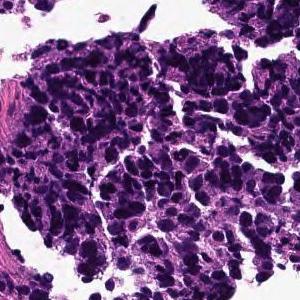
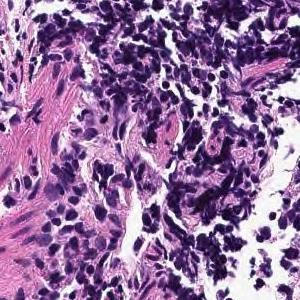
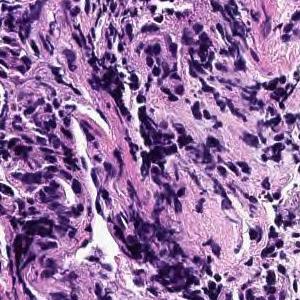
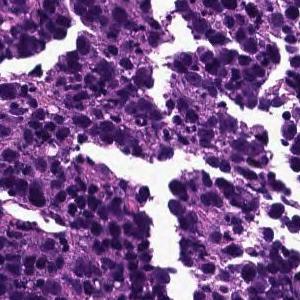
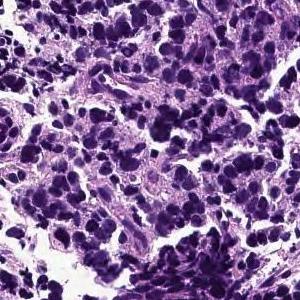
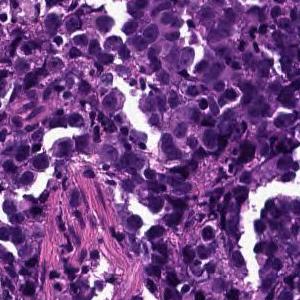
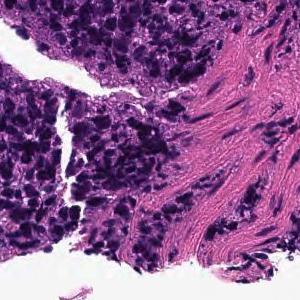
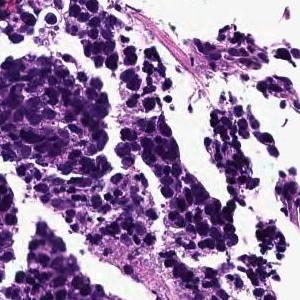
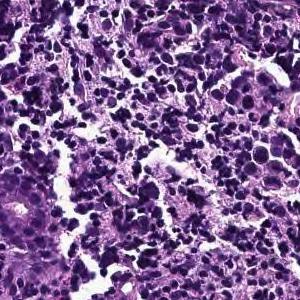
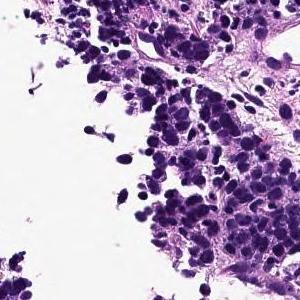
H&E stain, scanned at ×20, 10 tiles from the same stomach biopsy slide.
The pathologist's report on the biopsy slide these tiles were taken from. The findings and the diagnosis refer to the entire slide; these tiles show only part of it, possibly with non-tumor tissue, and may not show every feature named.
The superficial epithelium shows large alveolar or sheet-like forms, and some tumor tissue infiltrates with small irregular ducts. Poorly differentiated adenocarcinoma, solid-type
Histologic type: Poorly differentiated adenocarcinoma, solid type. This name comes from the Japanese Classification of Gastric Carcinoma; the WHO 2019 classification calls it tubular adenocarcinoma, poorly differentiated.
